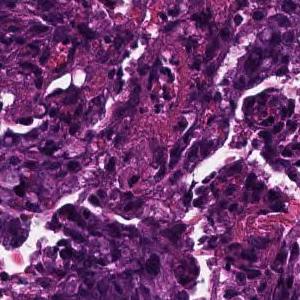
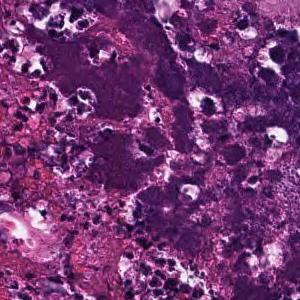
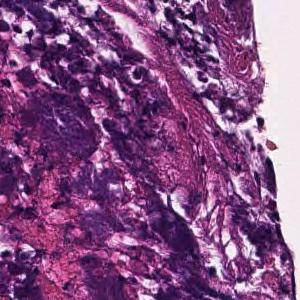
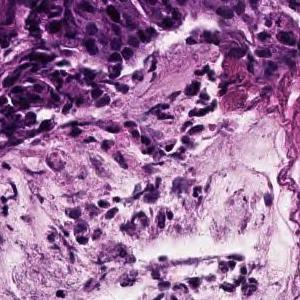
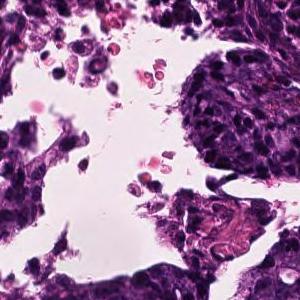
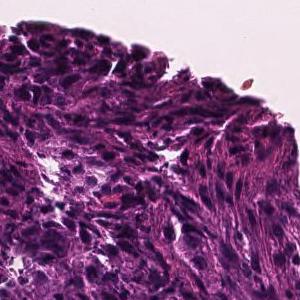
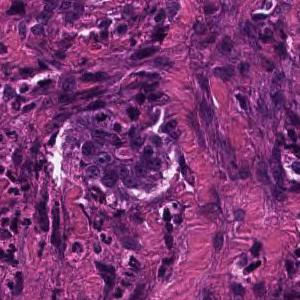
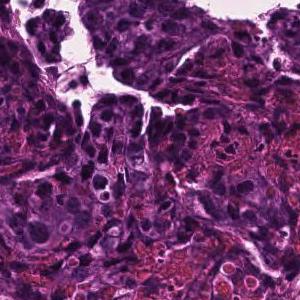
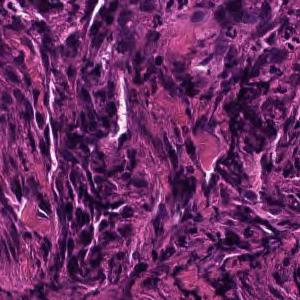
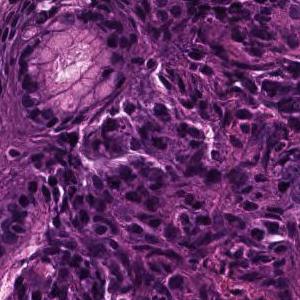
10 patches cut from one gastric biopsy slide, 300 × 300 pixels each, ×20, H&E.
The pathologist's report on the biopsy slide these tiles were taken from. Both the report and the diagnosis are for the whole slide: these tiles need not show every feature named, and some of the tissue shown may not be tumor.
Tumor tissue consisting of medium-sized, cord-like or irregular glandular infiltration is observed in the superficial epithelium. Poorly differentiated adenocarcinoma, non-solid type or moderately differentiated tubular adenocarcinoma
Classified as moderately to poorly differentiated adenocarcinoma.
"Non-solid type" is a category of the Japanese Classification of Gastric Carcinoma.
